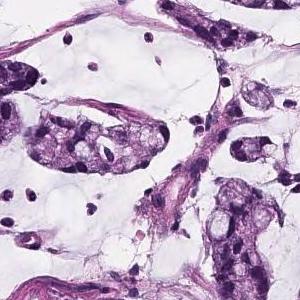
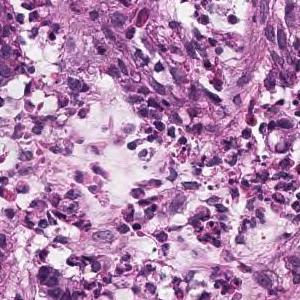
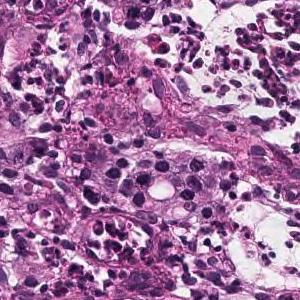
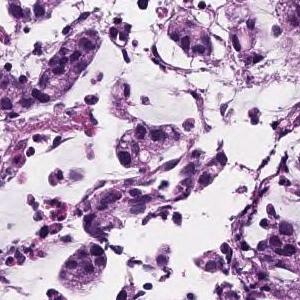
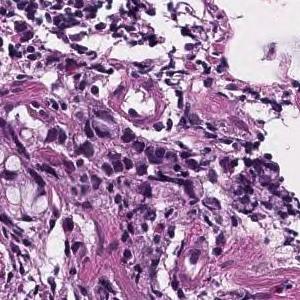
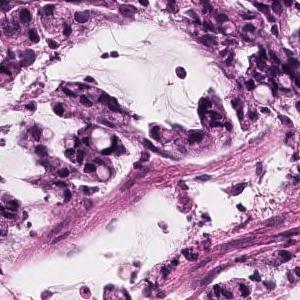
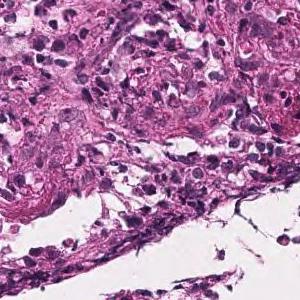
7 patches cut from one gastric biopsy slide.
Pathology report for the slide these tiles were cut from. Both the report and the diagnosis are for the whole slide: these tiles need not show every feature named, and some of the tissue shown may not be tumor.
Atypical epithelial cells form obscure ductal structures or small solid follicles, and tumor tissue that proliferates invasively with proliferation of inflammatory granulation tissue is observed. Mucinous adenocarcinoma .
